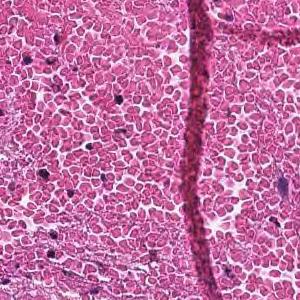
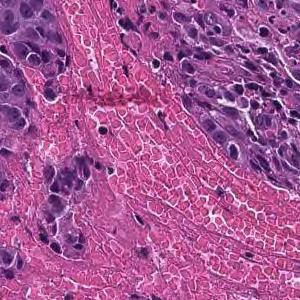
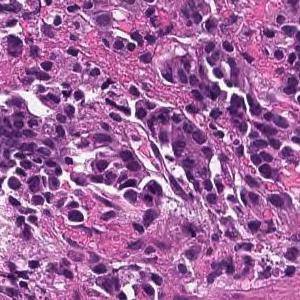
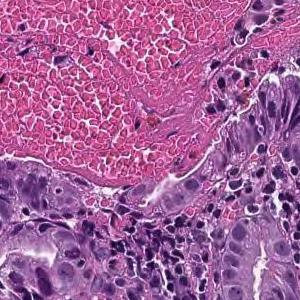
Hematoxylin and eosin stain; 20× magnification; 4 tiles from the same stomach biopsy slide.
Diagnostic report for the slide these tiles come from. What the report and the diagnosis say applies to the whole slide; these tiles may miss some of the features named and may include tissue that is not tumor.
On the superficial epithelium, tumor tissue that infiltrates by forming medium-sized papillary or small irregular ducts is observed. Papillary adenocarcinoma
